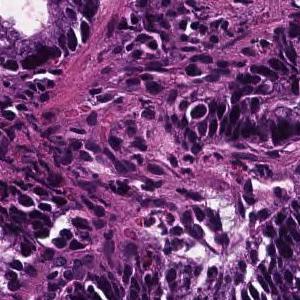
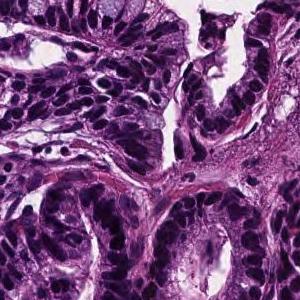
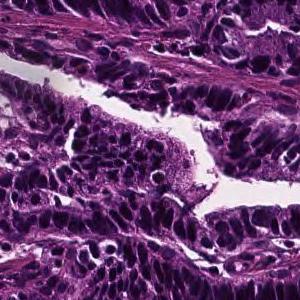
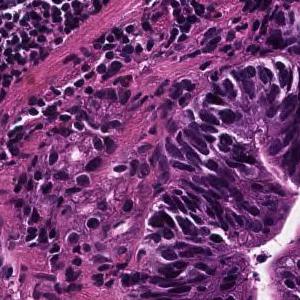
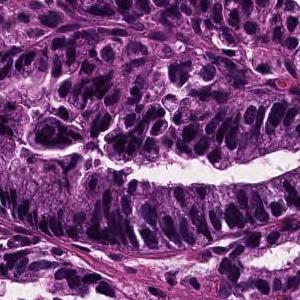
20× magnification; 5 tiles from the same stomach biopsy slide; each 300 × 300 pixels.
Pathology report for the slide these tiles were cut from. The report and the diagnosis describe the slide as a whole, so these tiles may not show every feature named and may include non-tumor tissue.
In the superficial epithelium, tumor tissue that invades by forming medium-sized to small, irregular ducts is observed. Well differentiated tubular adenocarcinoma.
